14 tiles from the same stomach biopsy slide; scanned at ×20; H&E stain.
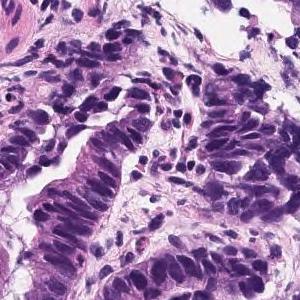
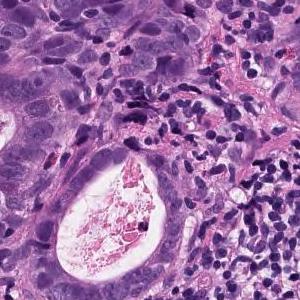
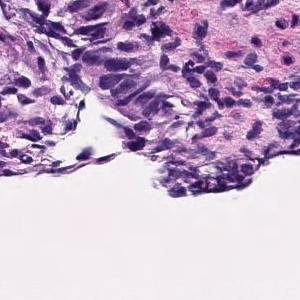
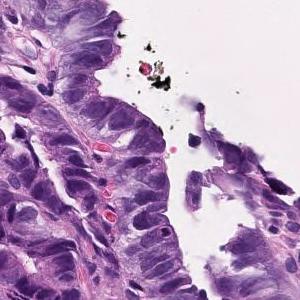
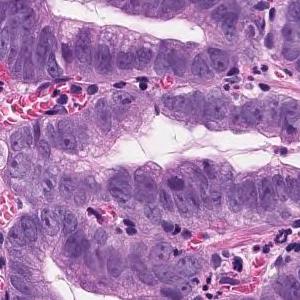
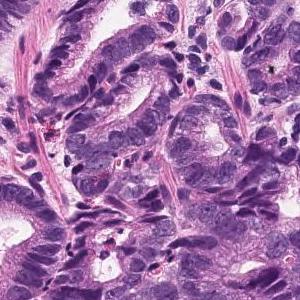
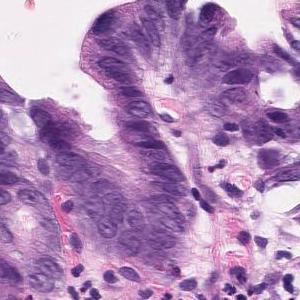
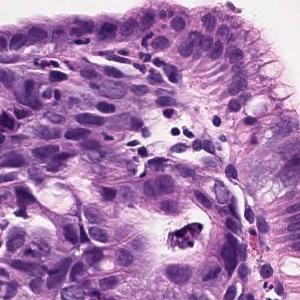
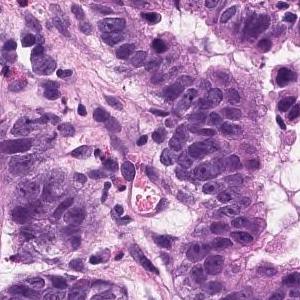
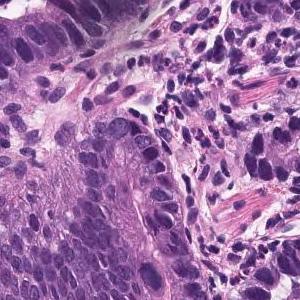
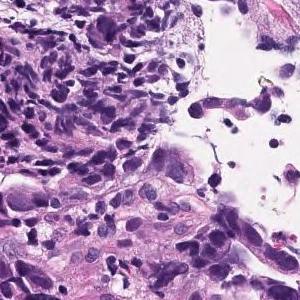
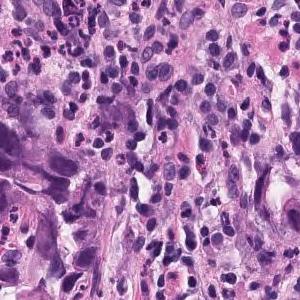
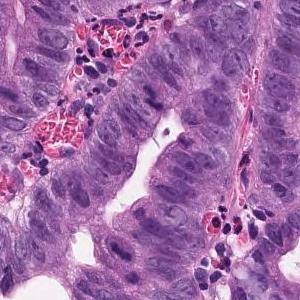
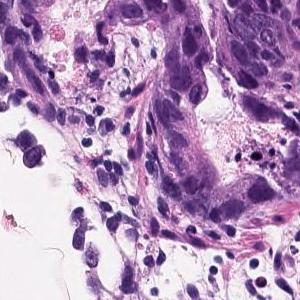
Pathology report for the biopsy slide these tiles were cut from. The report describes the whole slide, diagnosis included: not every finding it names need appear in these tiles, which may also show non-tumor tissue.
The swollen atypical epithelium of the nucleus forms an irregular ductal structure and proliferates. moderately differentiated tubular adenocarcinoma
